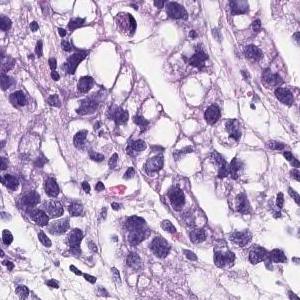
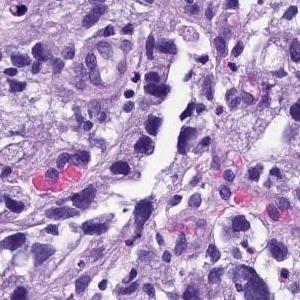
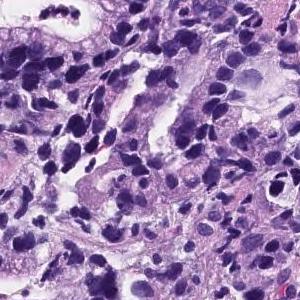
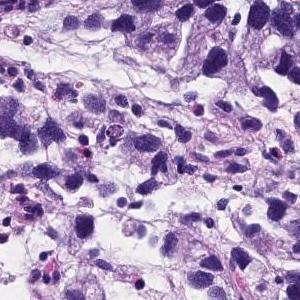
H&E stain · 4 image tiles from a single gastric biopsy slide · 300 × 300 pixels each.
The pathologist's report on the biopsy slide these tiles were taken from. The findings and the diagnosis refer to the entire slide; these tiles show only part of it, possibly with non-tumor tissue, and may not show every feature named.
Medium to small, irregular glandular ducts are formed in the superficial epithelium, and in some cases, the glandular ducts are fused to show solid alveolar lesions and infiltrating tumor tissue is observed. Poorly differentiated adenocarcinoma, Moderately differentiated adenocarcinoma.
Labeled in the dataset as moderately differentiated tubular adenocarcinoma.
